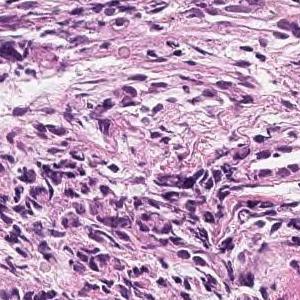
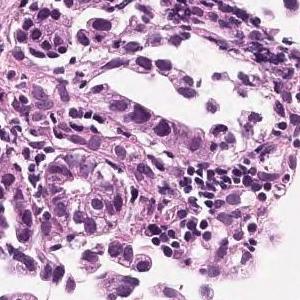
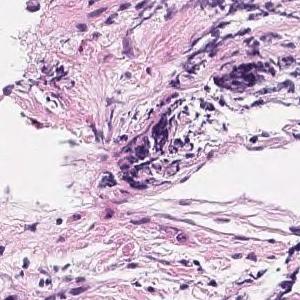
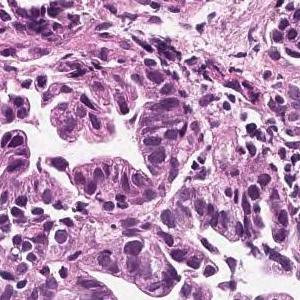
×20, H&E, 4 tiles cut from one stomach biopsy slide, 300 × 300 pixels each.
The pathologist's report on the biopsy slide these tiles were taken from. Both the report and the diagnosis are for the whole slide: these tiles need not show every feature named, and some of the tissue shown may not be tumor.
In the superficial epithelium, tumor tissue that invades by forming medium-sized to small, irregular ducts is observed. moderately differentiated tubular adenocarcinoma.
